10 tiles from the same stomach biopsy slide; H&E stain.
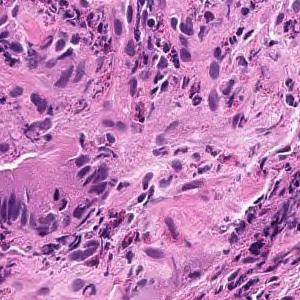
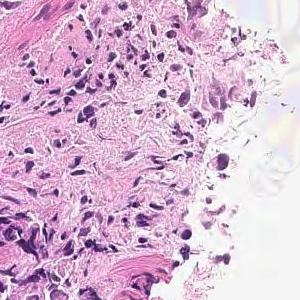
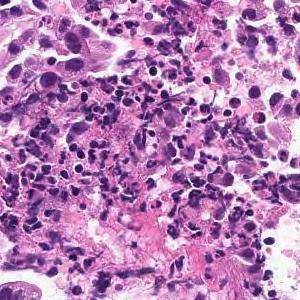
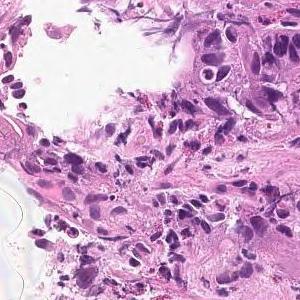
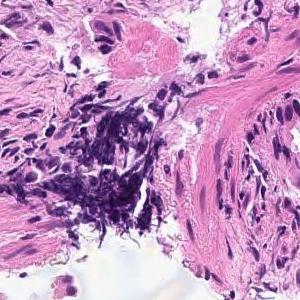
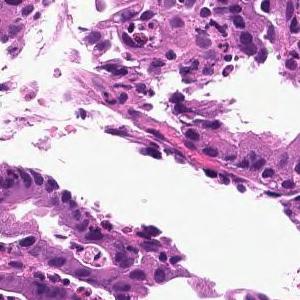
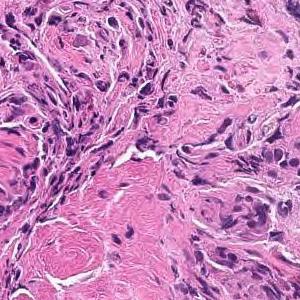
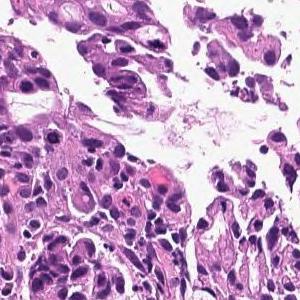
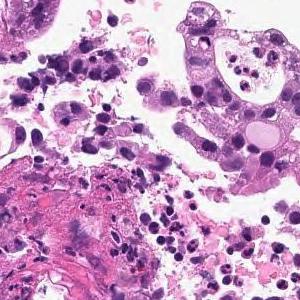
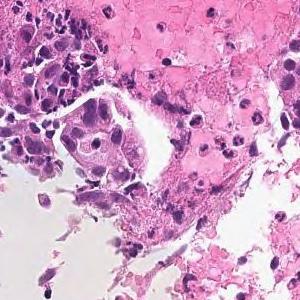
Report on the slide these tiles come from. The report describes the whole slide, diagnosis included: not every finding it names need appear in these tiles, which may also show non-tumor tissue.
On the superficial epithelium, tumor tissue consisting of large irregular glandular ducts partially fused and infiltrated is observed. Well to moderately differentiated tubular adenocarcinoma (well differentiated tubular adenocarcinoma, moderately differentiated tubular adenocarcinoma)
Subtype: Well to moderately differentiated tubular adenocarcinoma.
